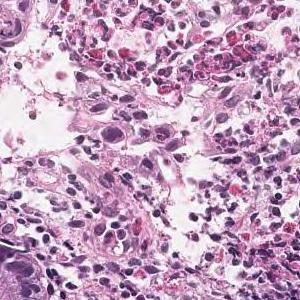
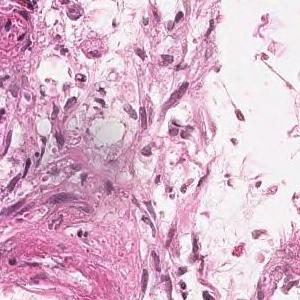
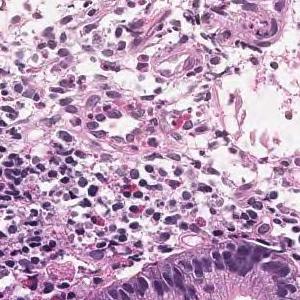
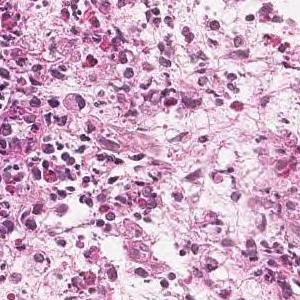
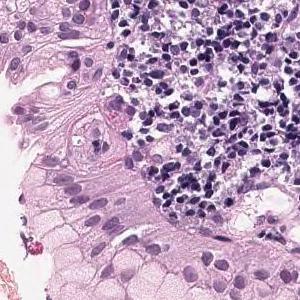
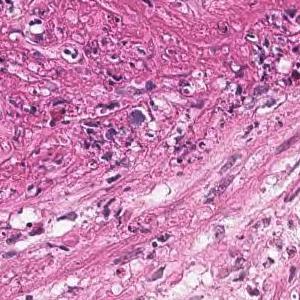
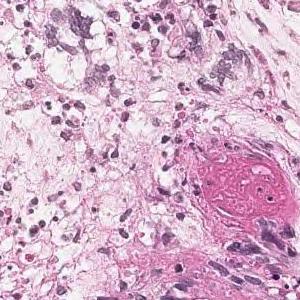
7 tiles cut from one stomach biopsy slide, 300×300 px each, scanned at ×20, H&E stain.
The pathologist's report on the biopsy slide these tiles were taken from. The report describes the whole slide, diagnosis included: not every finding it names need appear in these tiles, which may also show non-tumor tissue.
Tumor tissue is observed in which atypical epithelial cells with mucus in the vesicles proliferate while being isolated. Signet ring cell carcinoma
